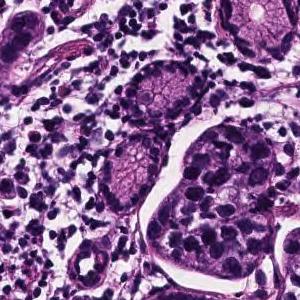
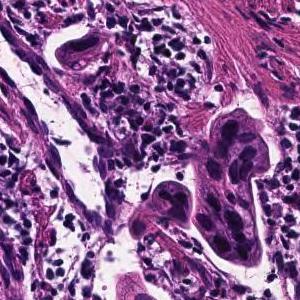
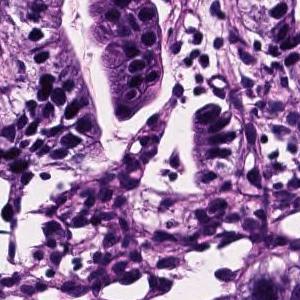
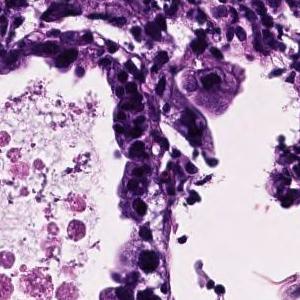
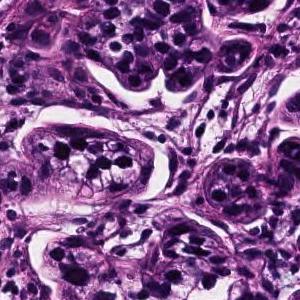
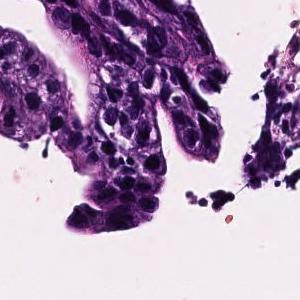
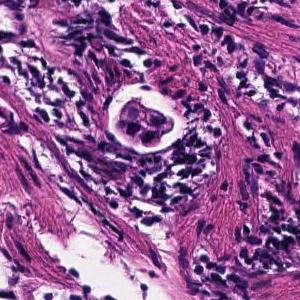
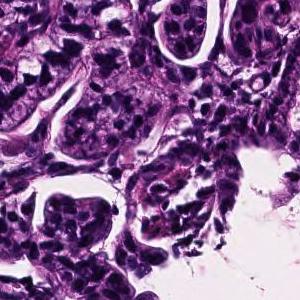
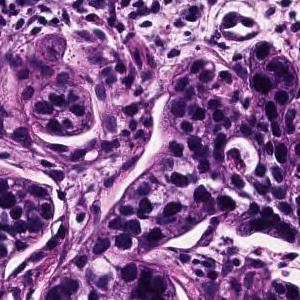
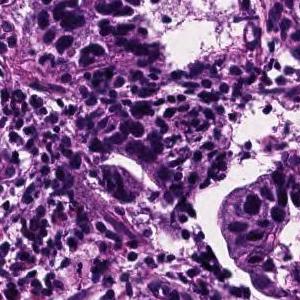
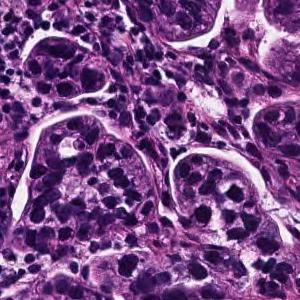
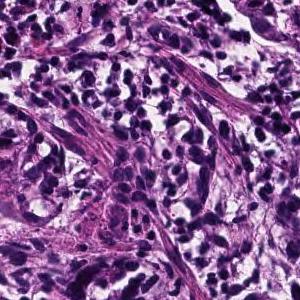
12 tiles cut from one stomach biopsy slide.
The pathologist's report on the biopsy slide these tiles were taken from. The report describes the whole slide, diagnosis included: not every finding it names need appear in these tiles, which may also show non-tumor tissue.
Tumor tissue consisting of cord-like or small, irregular glandular ducts fused and infiltrated is observed in the superficial epithelium. Poorly differentiated adenocarcinoma, non-solid type
The non-solid type named here is a Japanese Classification of Gastric Carcinoma category.
